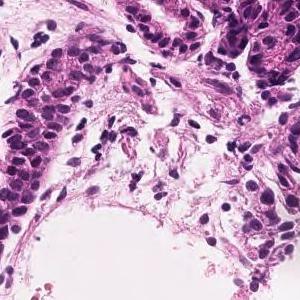
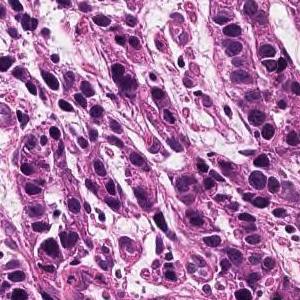
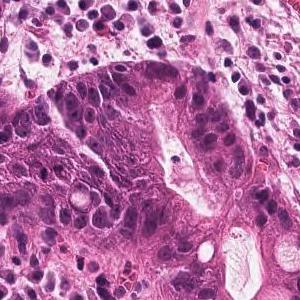
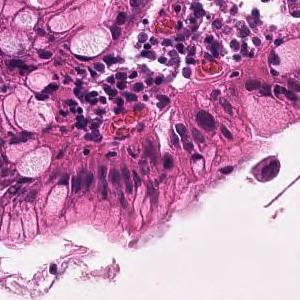
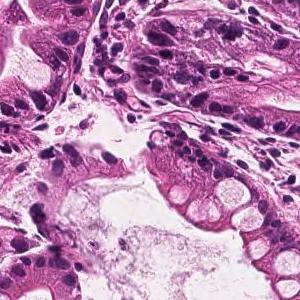
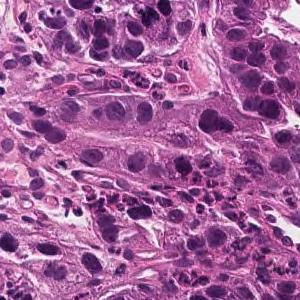
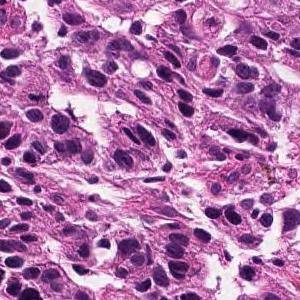
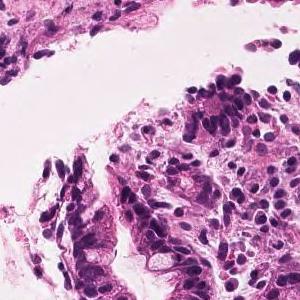
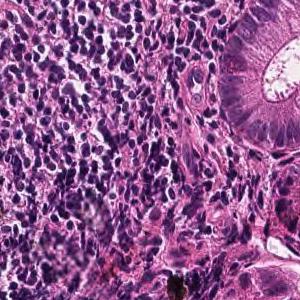
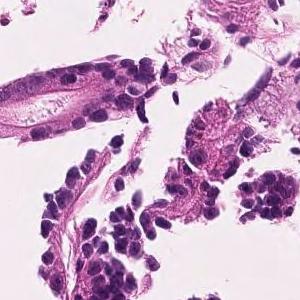
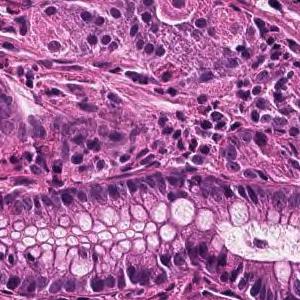
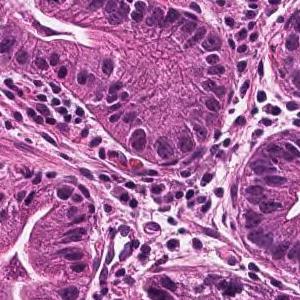
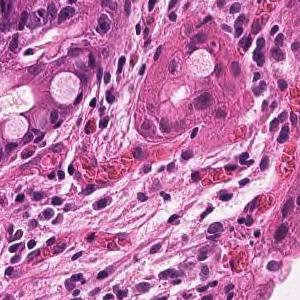
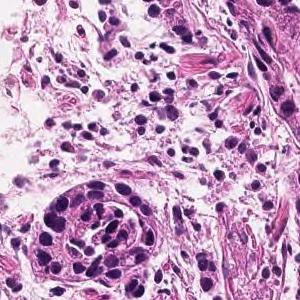
14 tiles cut from one stomach biopsy slide; 300 × 300 pixels each.
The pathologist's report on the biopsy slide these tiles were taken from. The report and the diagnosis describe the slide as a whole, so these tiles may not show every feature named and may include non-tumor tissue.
Tumor tissue consisting of medium-sized, cord-like or irregular glandular infiltration is observed in the superficial epithelium. Poorly differentiated adenocarcinoma, non-solid type or moderately differentiated tubular adenocarcinoma
Classified as moderately to poorly differentiated adenocarcinoma.
"Non-solid type" is a category of the Japanese Classification of Gastric Carcinoma.
